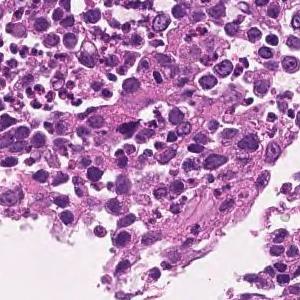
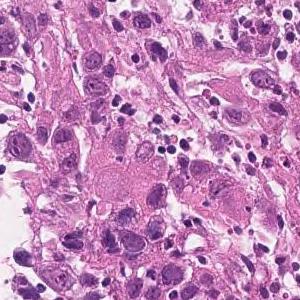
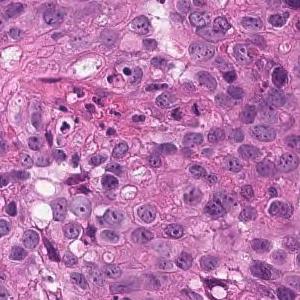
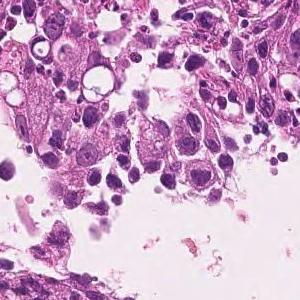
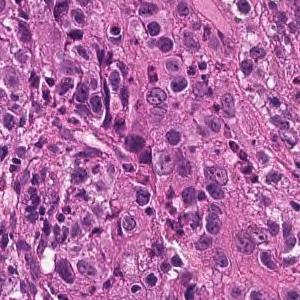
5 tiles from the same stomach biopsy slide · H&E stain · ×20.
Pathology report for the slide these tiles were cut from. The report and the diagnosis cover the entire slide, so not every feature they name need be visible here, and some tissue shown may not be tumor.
The superficial epithelium shows a large sheet-like shape, and some tumor tissue infiltrates with small irregular ducts. Poorly differentiated adenocarcinoma, solid-type
Classified as poorly differentiated adenocarcinoma, solid type (Japanese Classification of Gastric Carcinoma). The WHO 2019 equivalent is tubular adenocarcinoma, poorly differentiated.
